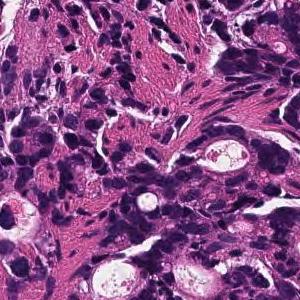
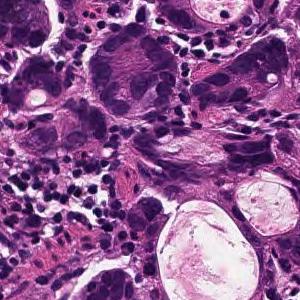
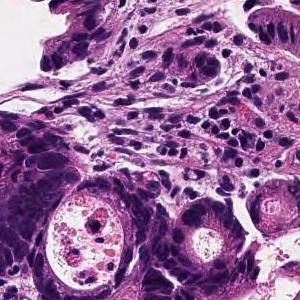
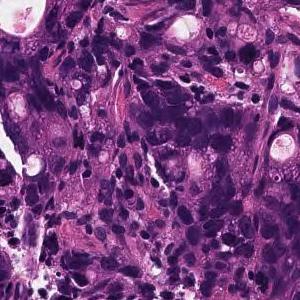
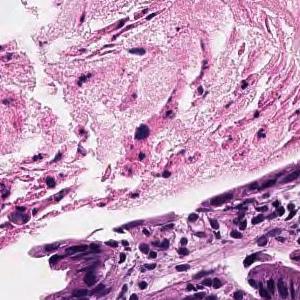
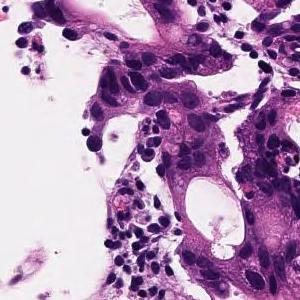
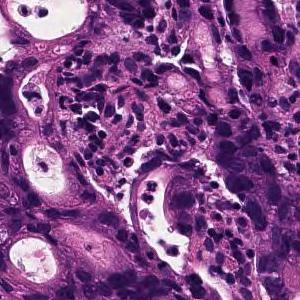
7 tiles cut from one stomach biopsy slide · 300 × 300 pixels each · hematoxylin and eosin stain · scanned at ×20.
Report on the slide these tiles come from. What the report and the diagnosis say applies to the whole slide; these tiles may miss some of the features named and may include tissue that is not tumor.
In the superficial epithelium, tumor tissue that invades by forming medium-sized to small, irregular ducts is observed. moderately differentiated tubular adenocarcinoma.
